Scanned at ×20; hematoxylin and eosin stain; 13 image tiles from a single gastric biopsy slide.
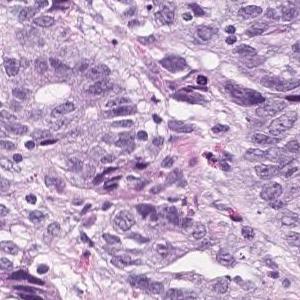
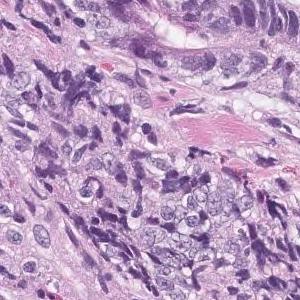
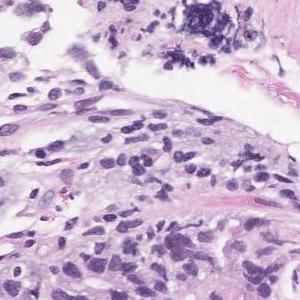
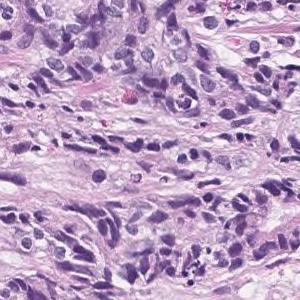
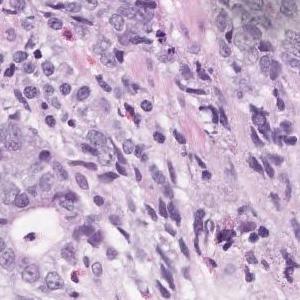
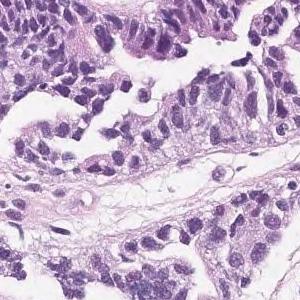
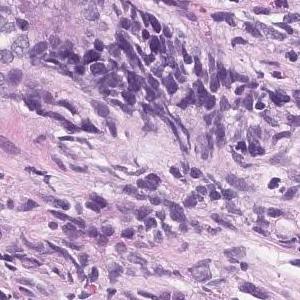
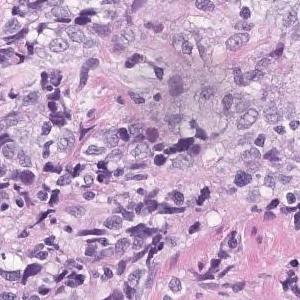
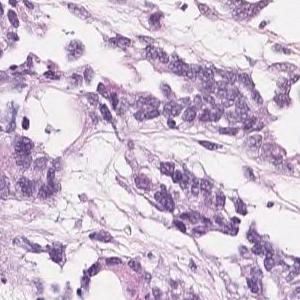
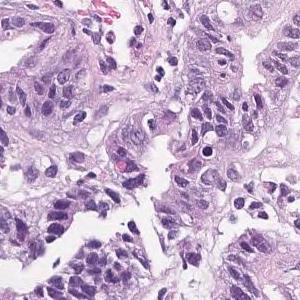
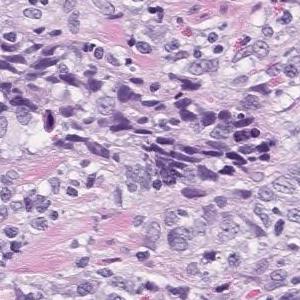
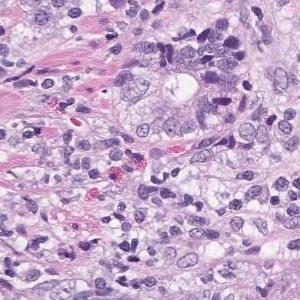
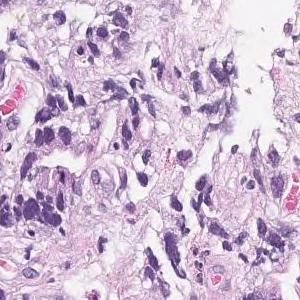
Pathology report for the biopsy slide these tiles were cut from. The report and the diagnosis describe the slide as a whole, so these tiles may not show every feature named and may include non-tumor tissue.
Highly columnar epithelium with disordered nuclear localization proliferates showing fusion ductal construction. moderately differentiated tubular adenocarcinoma
